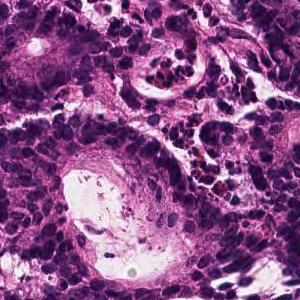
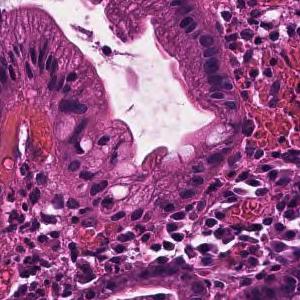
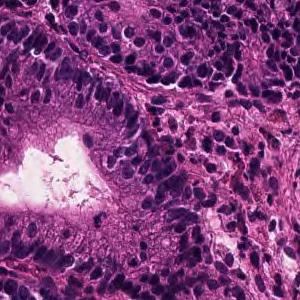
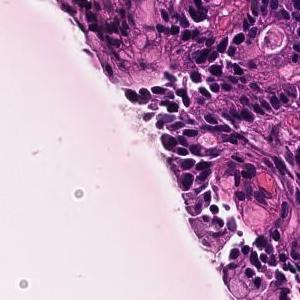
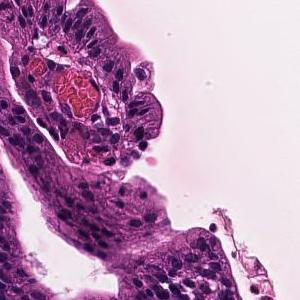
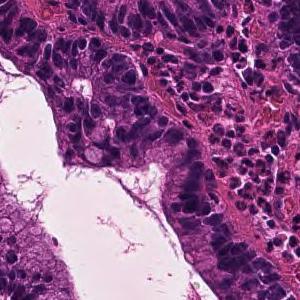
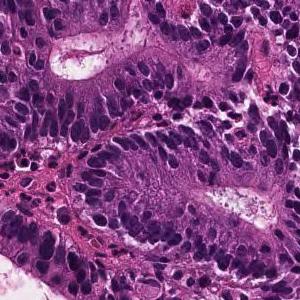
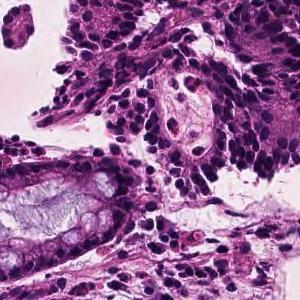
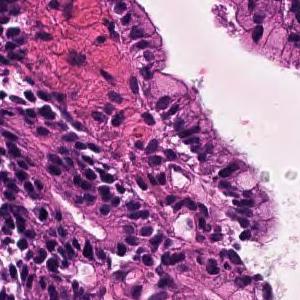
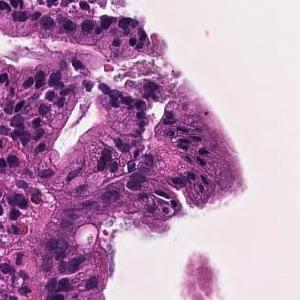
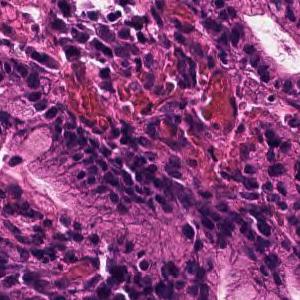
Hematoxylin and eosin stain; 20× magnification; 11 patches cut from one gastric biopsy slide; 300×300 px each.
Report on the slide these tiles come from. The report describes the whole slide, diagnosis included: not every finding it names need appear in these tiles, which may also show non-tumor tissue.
In the superficial epithelium, tumor tissue that invades by forming medium-sized to small, irregular ducts is observed. moderately differentiated tubular adenocarcinoma.
